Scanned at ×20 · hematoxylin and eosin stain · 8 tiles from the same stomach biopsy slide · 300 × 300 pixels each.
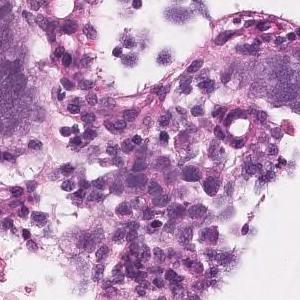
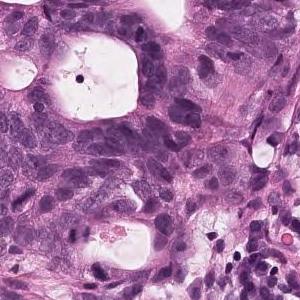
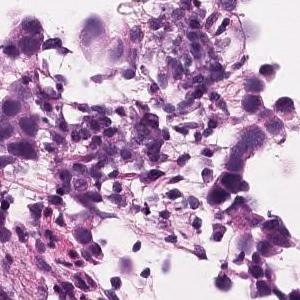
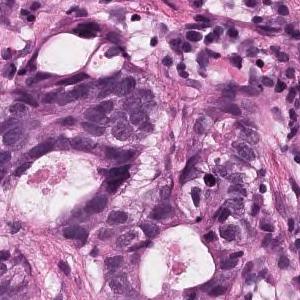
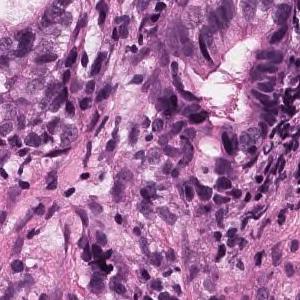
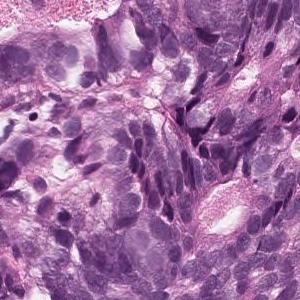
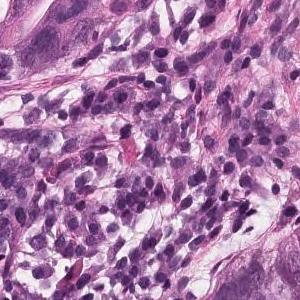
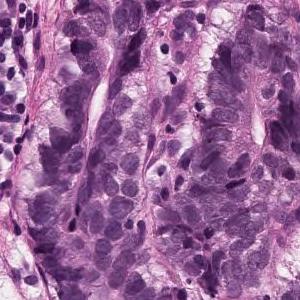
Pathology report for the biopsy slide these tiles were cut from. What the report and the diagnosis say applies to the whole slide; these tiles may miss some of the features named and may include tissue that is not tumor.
On the superficial epithelium, tumor tissue consisting of large, irregular glandular ducts partially fused and infiltrated is observed. Well to moderately differentiated tubular adenocarcinoma (well differentiated tubular adenocarcinoma, moderately differentiated tubular adenocarcinoma)
Subtype: Well to moderately differentiated tubular adenocarcinoma.
